15 tiles from the same stomach biopsy slide · 300×300 px each · H&E stain · scanned at ×20.
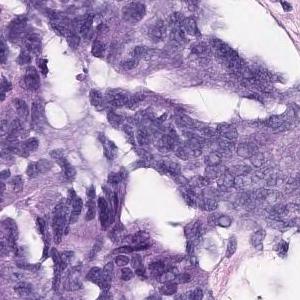
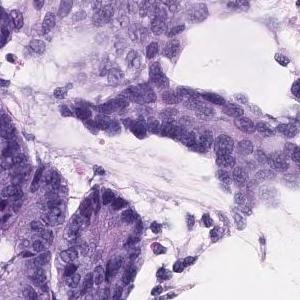
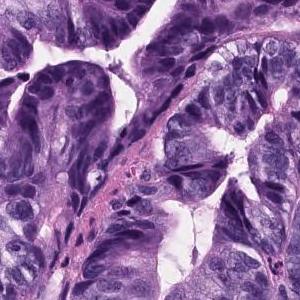
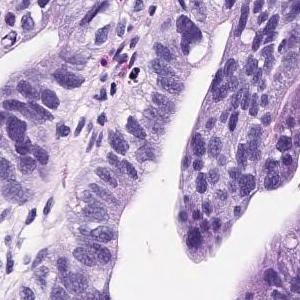
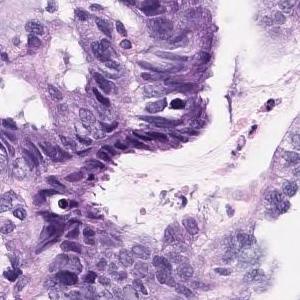
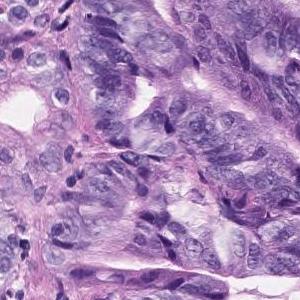
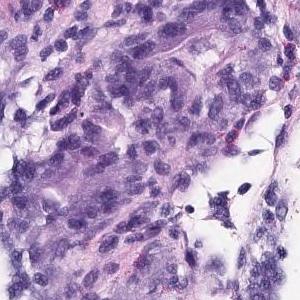
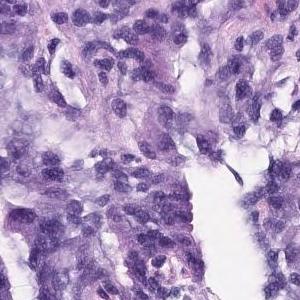
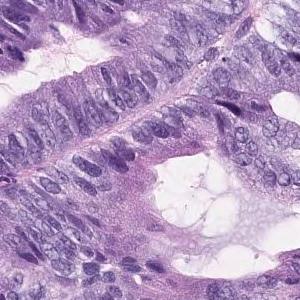
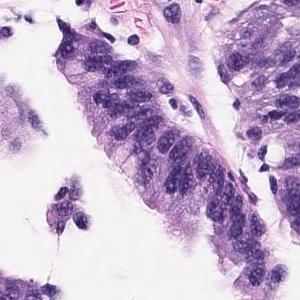
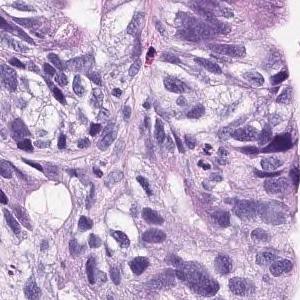
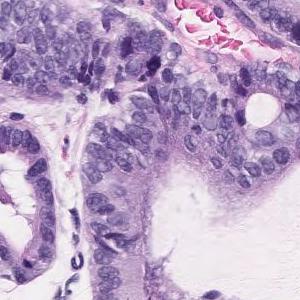
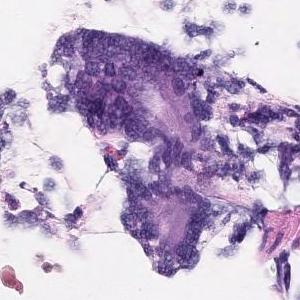
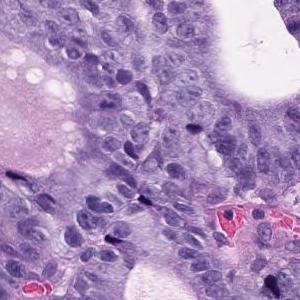
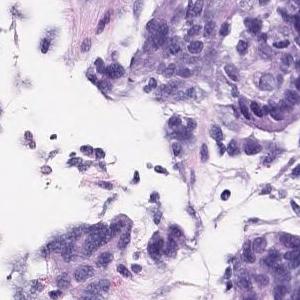
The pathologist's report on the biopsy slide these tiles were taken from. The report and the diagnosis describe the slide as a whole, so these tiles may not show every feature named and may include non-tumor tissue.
In the superficial epithelium, tumor tissue that invades by forming medium-sized to small, irregular ducts is observed. Well to moderately differentiated tubular adenocarcinoma.
